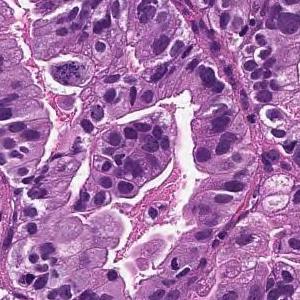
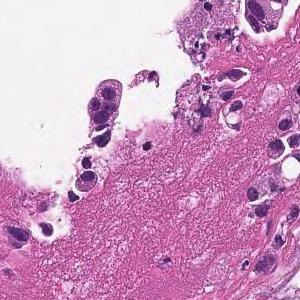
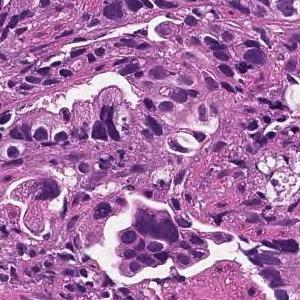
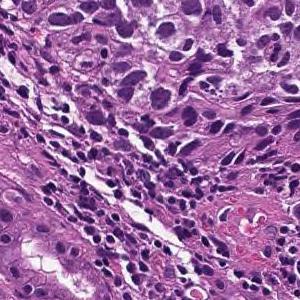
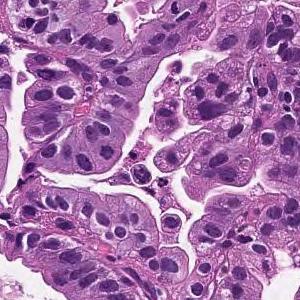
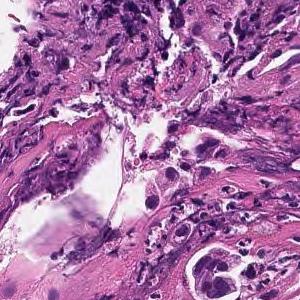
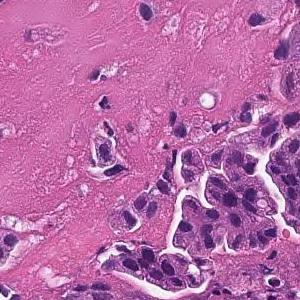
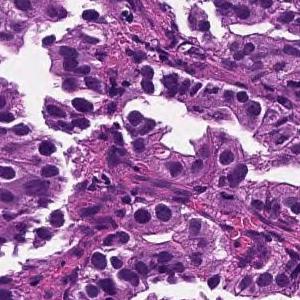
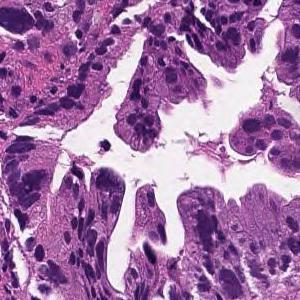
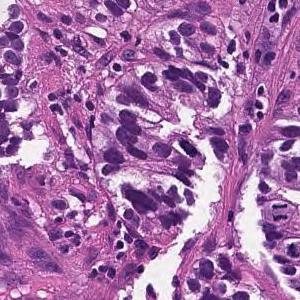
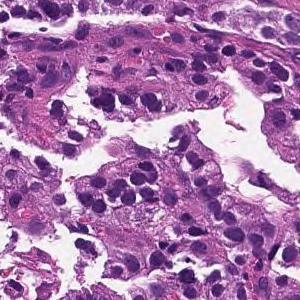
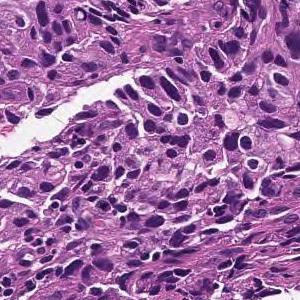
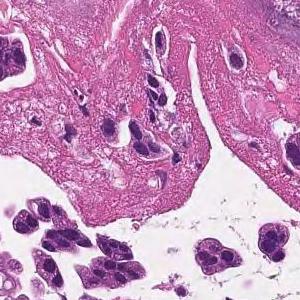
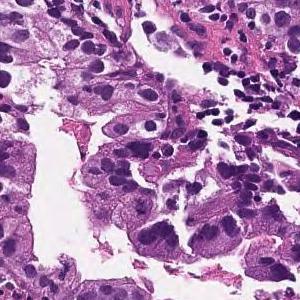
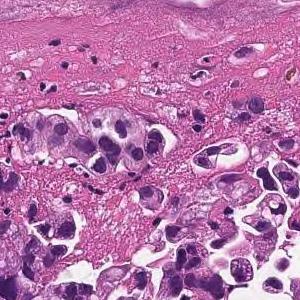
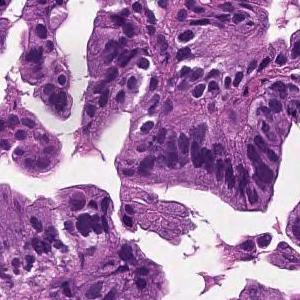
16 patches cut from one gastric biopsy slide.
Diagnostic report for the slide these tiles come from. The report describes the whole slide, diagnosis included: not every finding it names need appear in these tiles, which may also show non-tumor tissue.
Medium to small, irregular glandular ducts are formed in the superficial epithelium, and in some cases, the glandular ducts are fused to show solid alveolar lesions and infiltrating tumor tissue is observed. Moderately to poorly differentiated adenocarcinoma.
